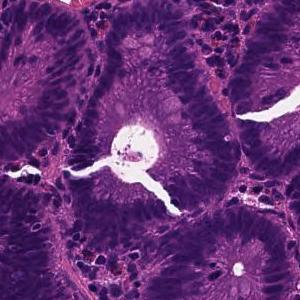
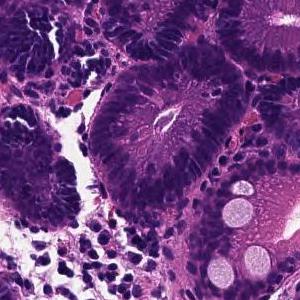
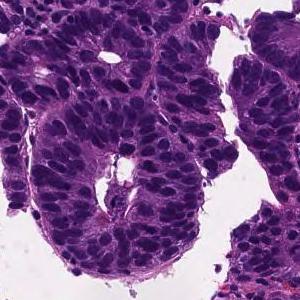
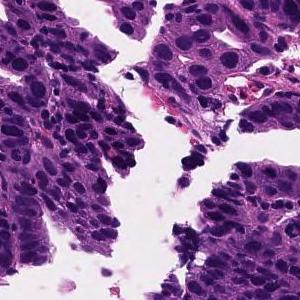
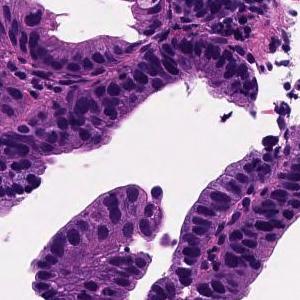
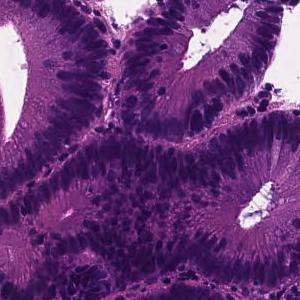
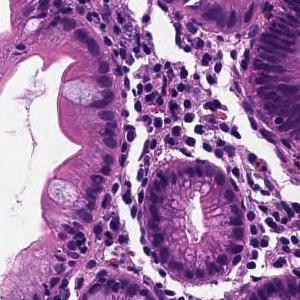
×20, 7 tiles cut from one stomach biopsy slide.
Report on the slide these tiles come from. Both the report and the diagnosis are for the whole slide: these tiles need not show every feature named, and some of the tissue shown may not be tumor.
Tumor tissue in which medium to small irregular ducts infiltrate and proliferate in the submucosa can be seen in the epithelium. Well differentiated tubular adenocarcinoma
